6 image tiles from a single gastric biopsy slide, 300 × 300 pixels each, H&E stain.
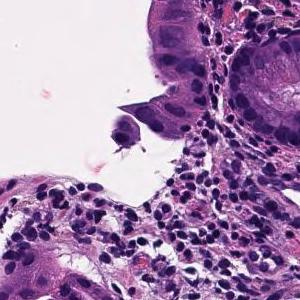
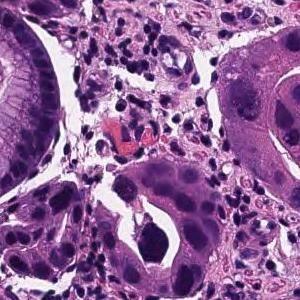
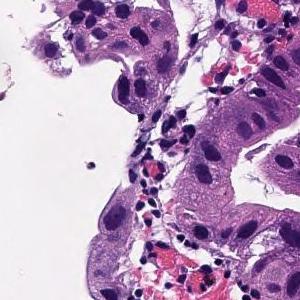
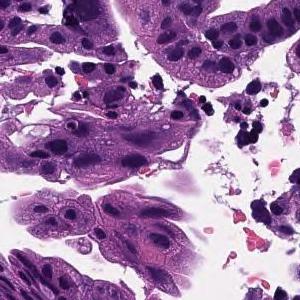
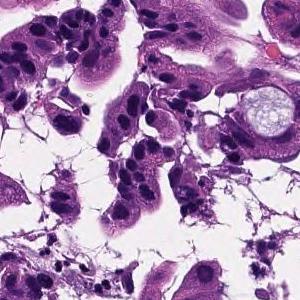
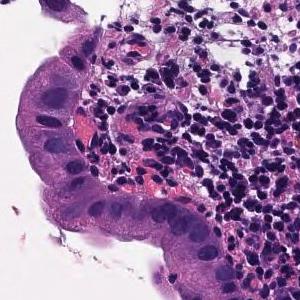
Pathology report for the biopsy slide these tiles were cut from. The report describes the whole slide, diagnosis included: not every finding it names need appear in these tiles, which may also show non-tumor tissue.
Tumor tissue consisting of large papillary structures is found in the superficial epithelium. Papillary adenocarcinoma.
